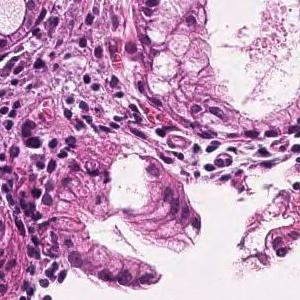
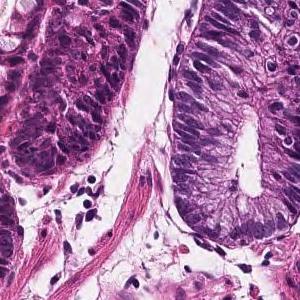
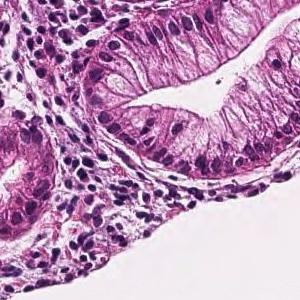
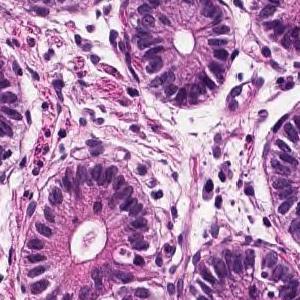
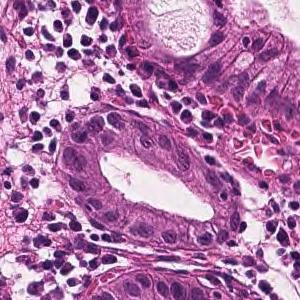
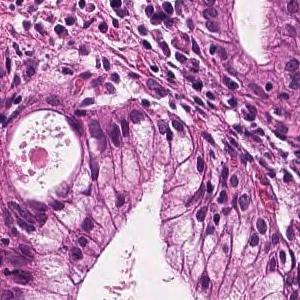
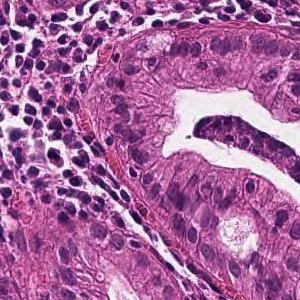
7 patches cut from one gastric biopsy slide, each 300 × 300 pixels, hematoxylin and eosin stain.
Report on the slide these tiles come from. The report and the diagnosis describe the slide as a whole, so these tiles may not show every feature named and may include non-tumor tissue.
In the superficial epithelium, tumor tissue that invades by forming medium-sized to small, irregular ducts is observed. Well differentiated tubular adenocarcinoma.
